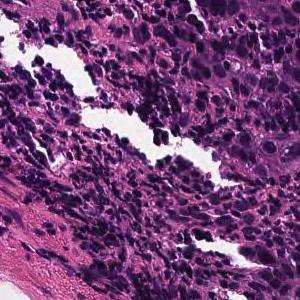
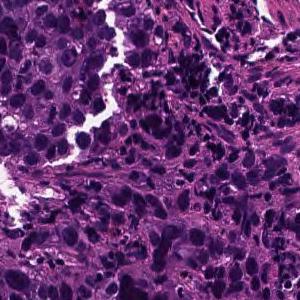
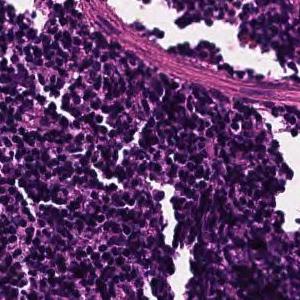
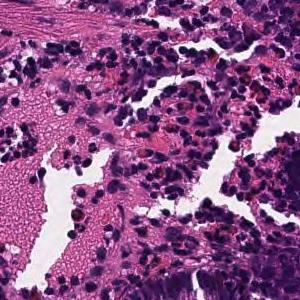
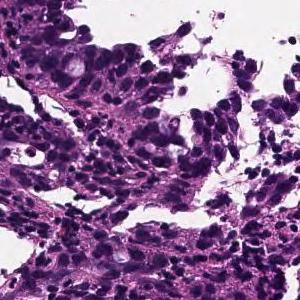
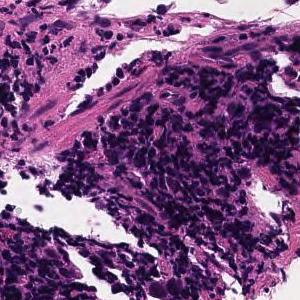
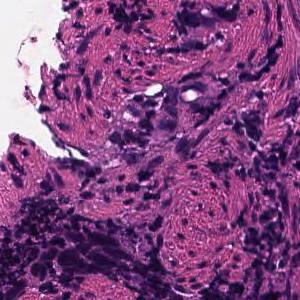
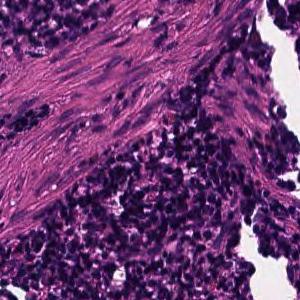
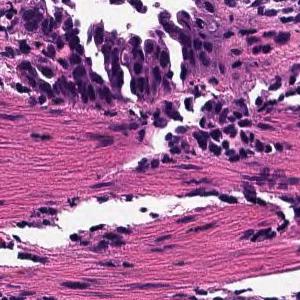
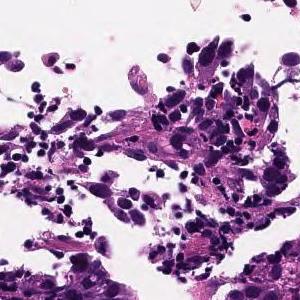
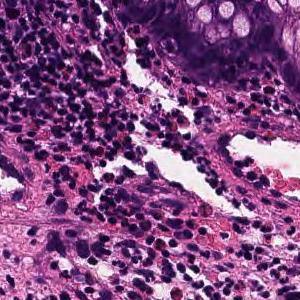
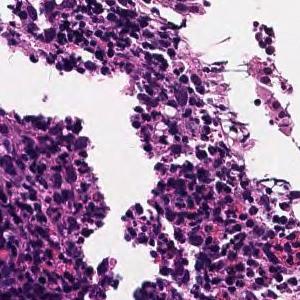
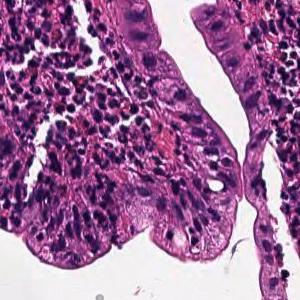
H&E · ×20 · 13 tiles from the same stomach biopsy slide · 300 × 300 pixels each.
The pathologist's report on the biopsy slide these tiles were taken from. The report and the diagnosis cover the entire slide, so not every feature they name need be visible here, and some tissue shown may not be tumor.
Tumor tissue consisting of cord-like or small, irregular glandular ducts fused and infiltrated is observed in the superficial epithelium. Poorly differentiated adenocarcinoma, non-solid type
The term "non-solid type" comes from the Japanese Classification of Gastric Carcinoma.
